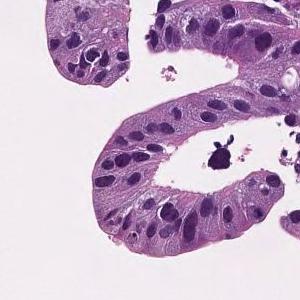
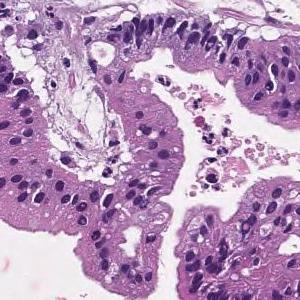
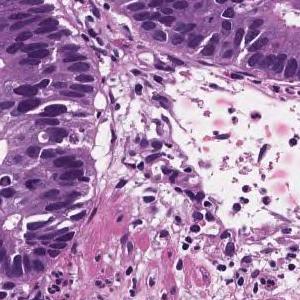
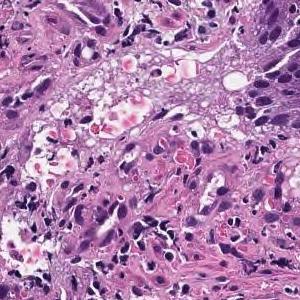
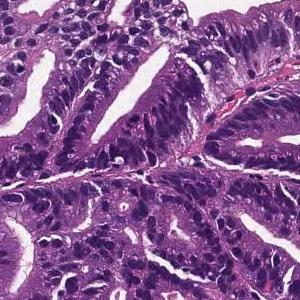
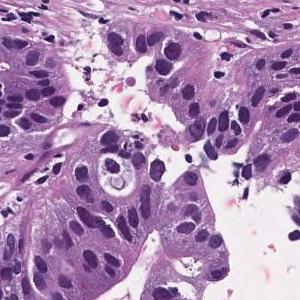
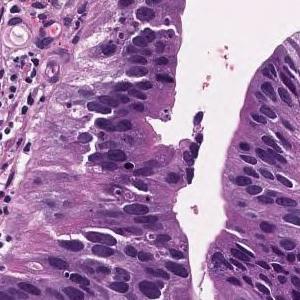
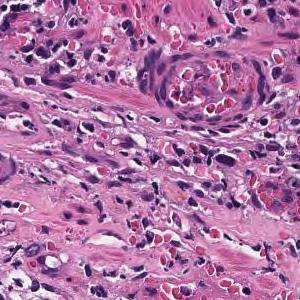
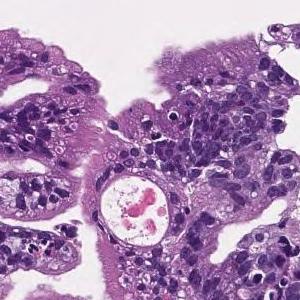
9 tiles cut from one stomach biopsy slide; H&E stain.
The pathologist's report on the biopsy slide these tiles were taken from. The findings and the diagnosis refer to the entire slide; these tiles show only part of it, possibly with non-tumor tissue, and may not show every feature named.
Tumor cells are large, highly columnar, large club-shaped nuclei, and are associated with chromatin aggregation. Papillary adenocarcinoma.
